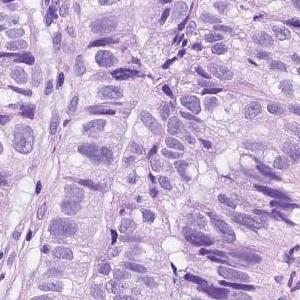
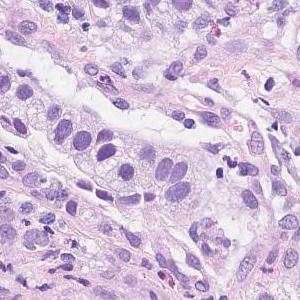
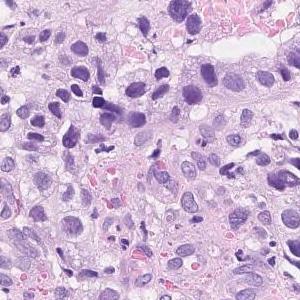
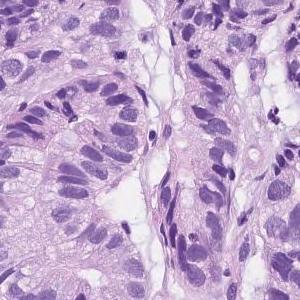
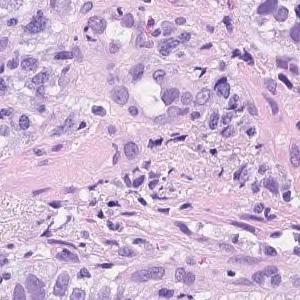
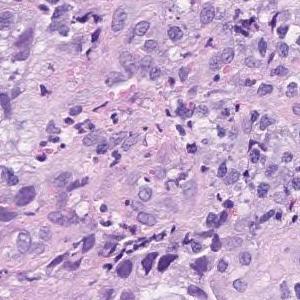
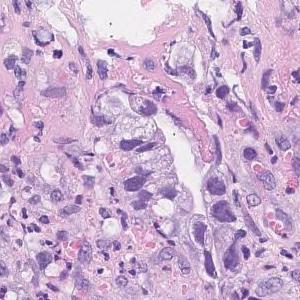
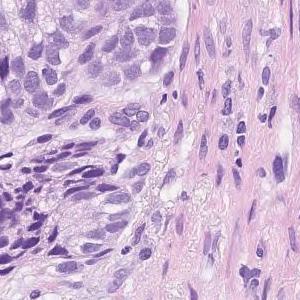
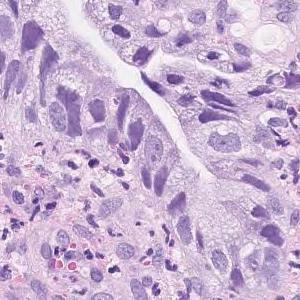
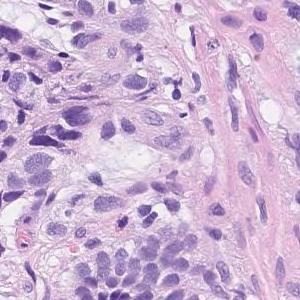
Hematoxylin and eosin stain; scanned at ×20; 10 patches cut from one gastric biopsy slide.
The pathologist's report on the biopsy slide these tiles were taken from. Both the report and the diagnosis are for the whole slide: these tiles need not show every feature named, and some of the tissue shown may not be tumor.
Atypical l cells with atypical nuclei forming solid or diffuse vesicles or small irregular atypical ducts and growing in a complex manner. moderately differentiated tubular adenocarcinoma
